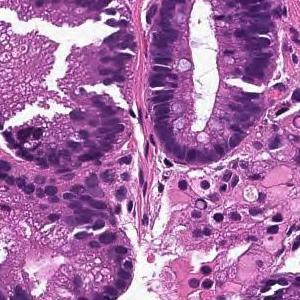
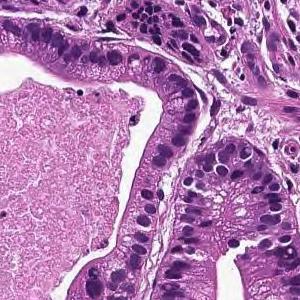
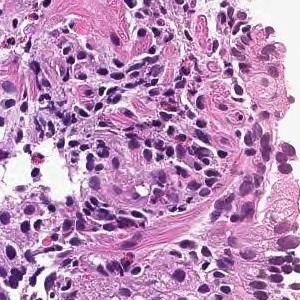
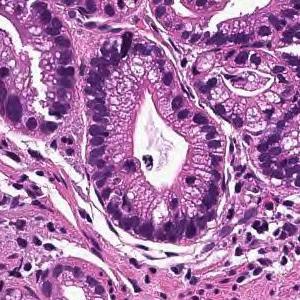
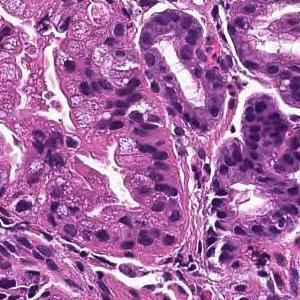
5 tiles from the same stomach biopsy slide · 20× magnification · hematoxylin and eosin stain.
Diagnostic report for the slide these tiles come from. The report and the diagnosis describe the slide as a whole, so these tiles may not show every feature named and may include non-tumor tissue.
Tumor cells are large, highly columnar, large club-shaped nuclei, and are associated with chromatin aggregation. Papillary adenocarcinoma.
